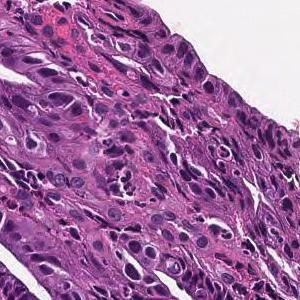
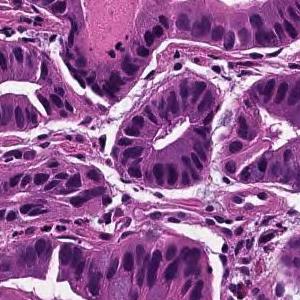
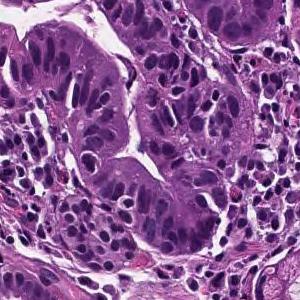
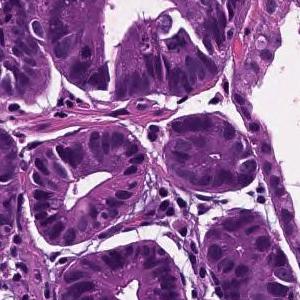
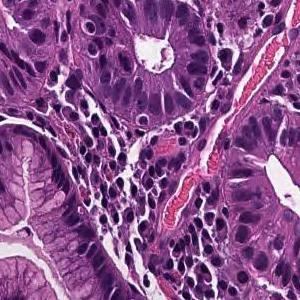
Hematoxylin and eosin stain; 5 tiles from the same stomach biopsy slide; 300 × 300 pixels each.
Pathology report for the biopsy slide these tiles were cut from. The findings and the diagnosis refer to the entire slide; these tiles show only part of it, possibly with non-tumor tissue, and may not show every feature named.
From the superficial epithelium to the muscularis mucosae, tumor tissue consisting of medium-sized and irregular glandular ducts infiltrating is observed. Well differentiated tubular adenocarcinoma
